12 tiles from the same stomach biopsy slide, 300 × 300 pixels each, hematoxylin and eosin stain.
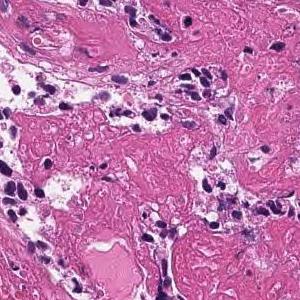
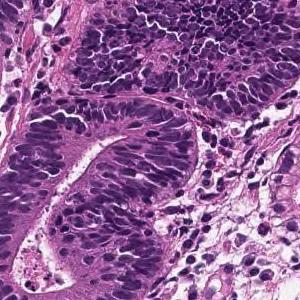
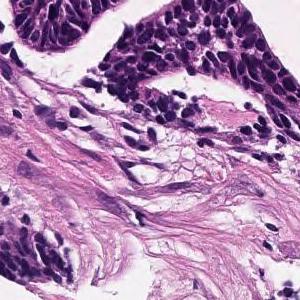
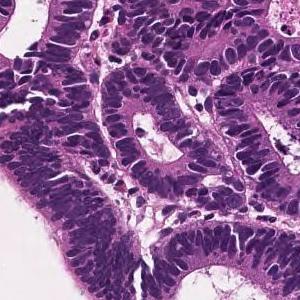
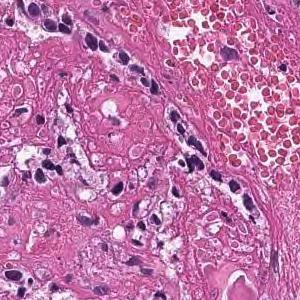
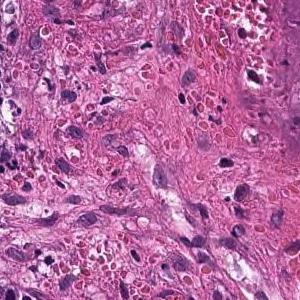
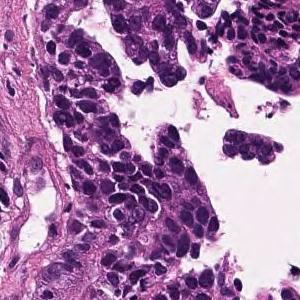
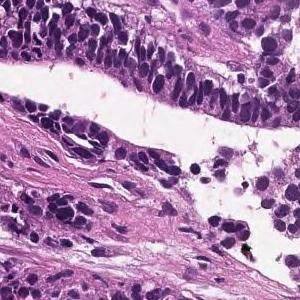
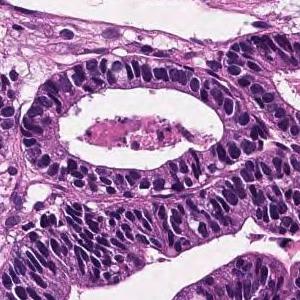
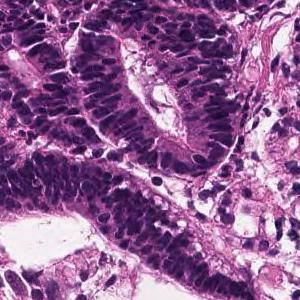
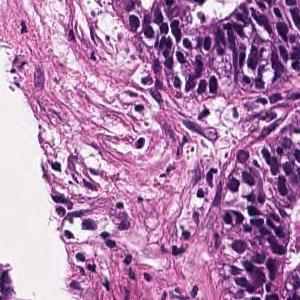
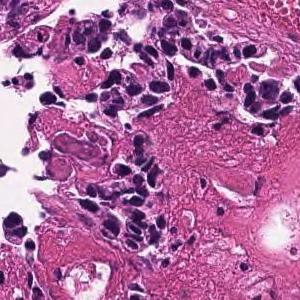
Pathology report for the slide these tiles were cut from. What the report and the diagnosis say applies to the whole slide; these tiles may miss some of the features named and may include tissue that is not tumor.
In the superficial epithelium, tumor tissue that invades by forming medium-sized to small, irregular ducts is observed. Well differentiated tubular adenocarcinoma.
